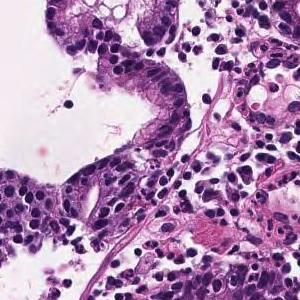
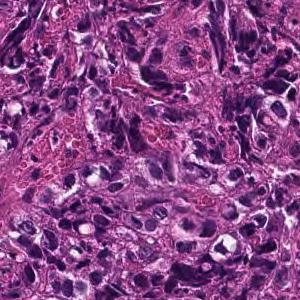
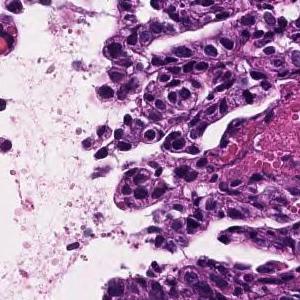
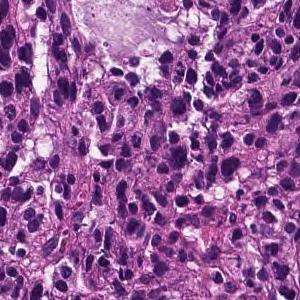
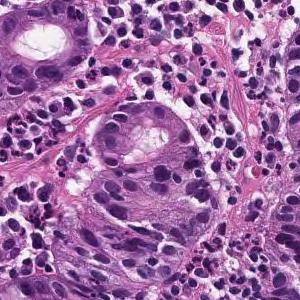
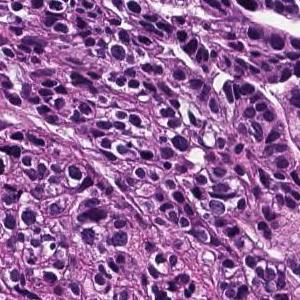
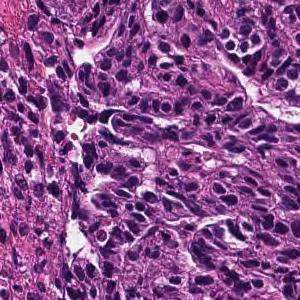
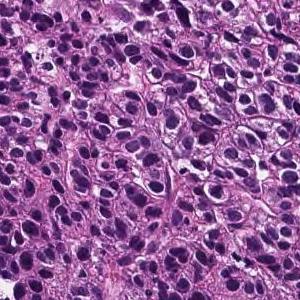
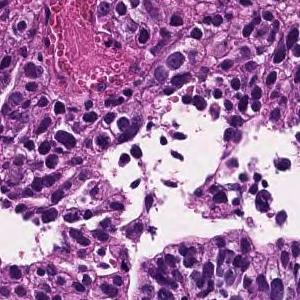
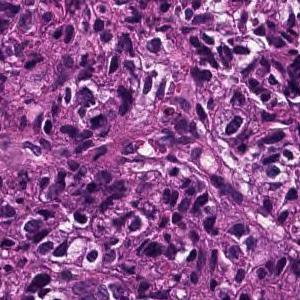
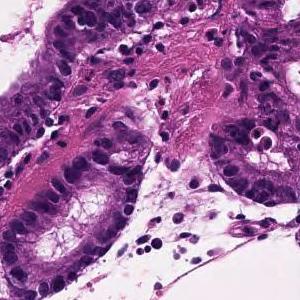
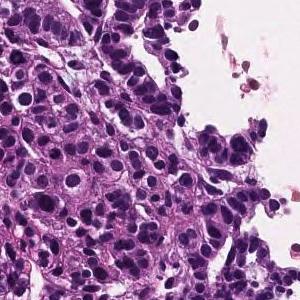
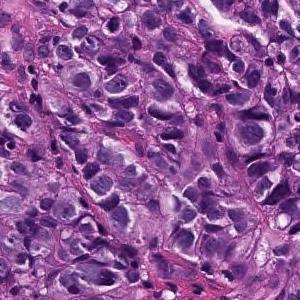
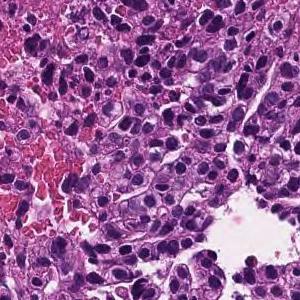
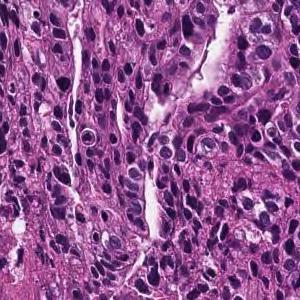
Hematoxylin and eosin stain; ×20; 15 patches cut from one gastric biopsy slide; 300×300 px each.
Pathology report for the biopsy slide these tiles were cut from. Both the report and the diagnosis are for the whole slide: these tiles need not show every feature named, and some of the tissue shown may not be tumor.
In the superficial epithelium, tumor tissue that invades by forming medium-sized to small, irregular ducts is observed. moderately differentiated tubular adenocarcinoma.
